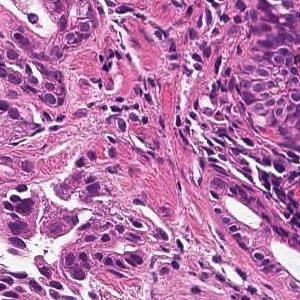
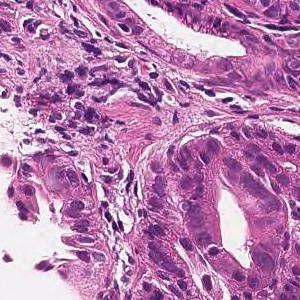
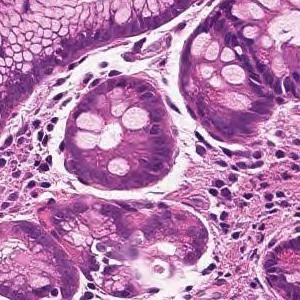
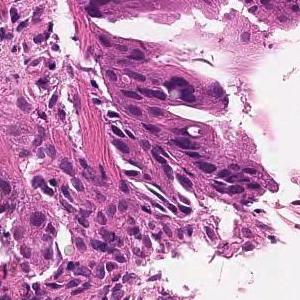
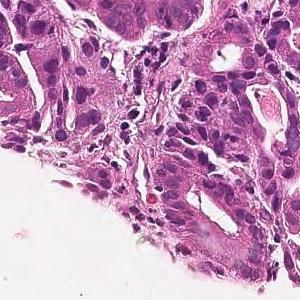
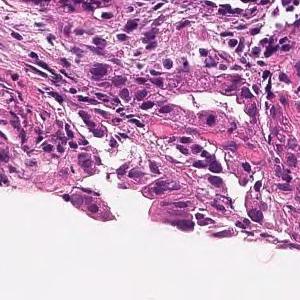
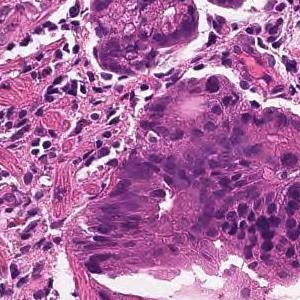
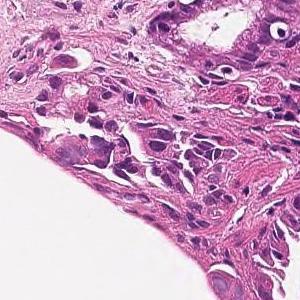
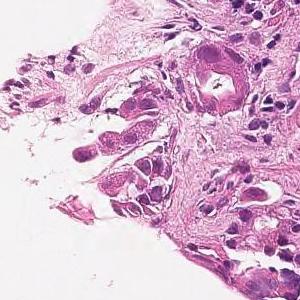
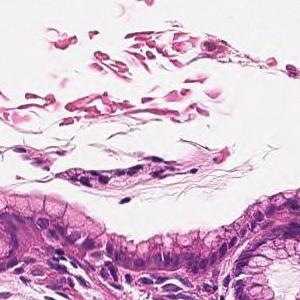
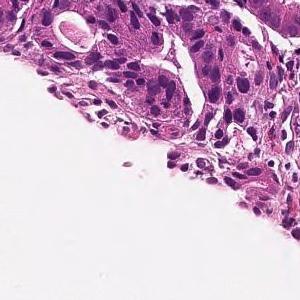
Hematoxylin and eosin stain · scanned at ×20 · 11 tiles cut from one stomach biopsy slide.
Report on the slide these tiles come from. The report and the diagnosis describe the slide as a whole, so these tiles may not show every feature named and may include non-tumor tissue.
On the superficial epithelium, tumor tissue that infiltrates by forming medium-sized papillary or small irregular ducts is observed. Papillary adenocarcinoma
